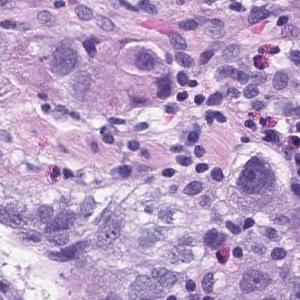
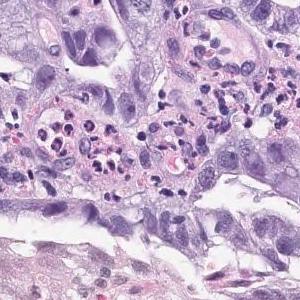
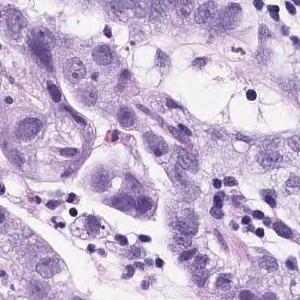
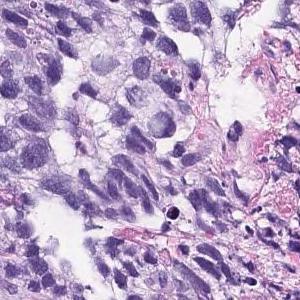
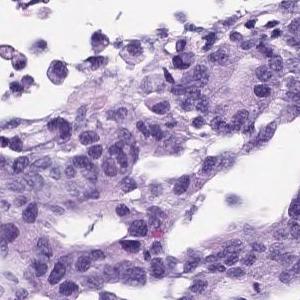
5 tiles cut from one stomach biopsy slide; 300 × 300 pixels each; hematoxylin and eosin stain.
Diagnostic report for the slide these tiles come from. The report and the diagnosis describe the slide as a whole, so these tiles may not show every feature named and may include non-tumor tissue.
In the superficial epithelium, tumor tissue that invades by forming medium-sized to small, irregular ducts is observed. Moderately differentiated adenocarcinoma.
Classified as moderately differentiated tubular adenocarcinoma.
